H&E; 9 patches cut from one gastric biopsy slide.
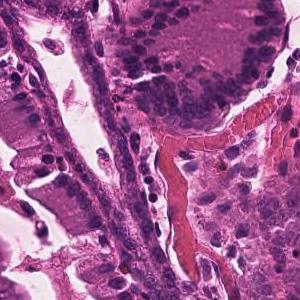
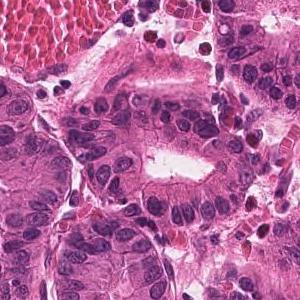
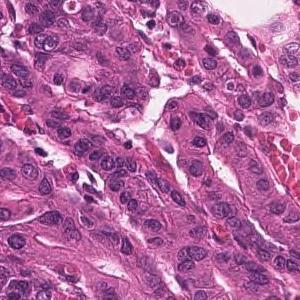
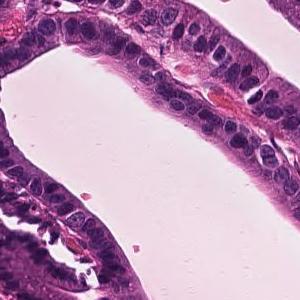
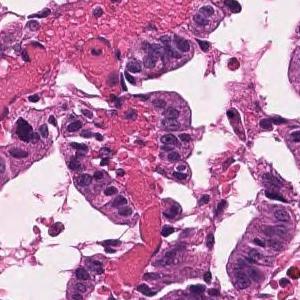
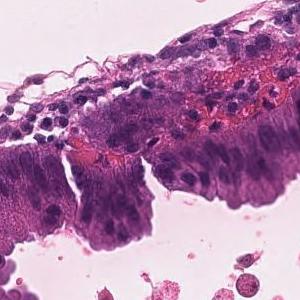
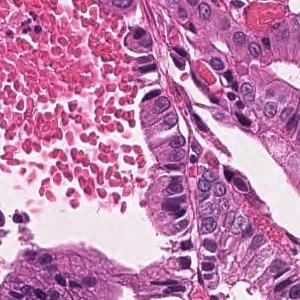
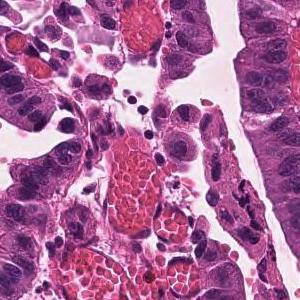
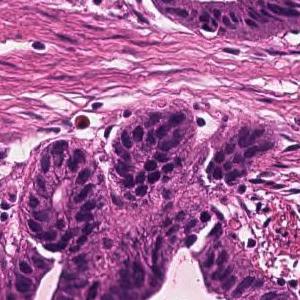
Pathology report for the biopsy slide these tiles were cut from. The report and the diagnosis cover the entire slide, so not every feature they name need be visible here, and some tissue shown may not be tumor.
Infiltrating tumor tissue with medium-sized, irregular ductal structure or large papillary appearance is observed. Well differentiated tubular adenocarcinoma
